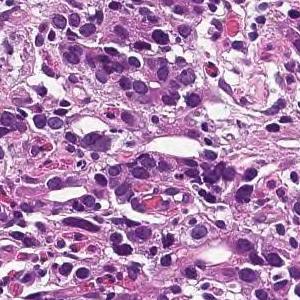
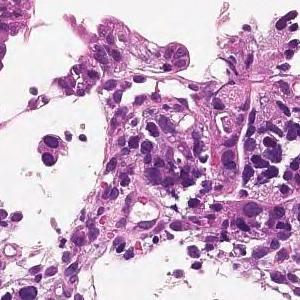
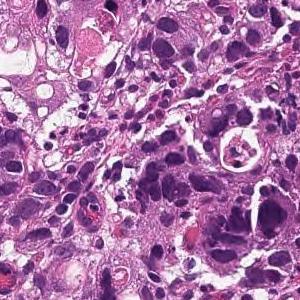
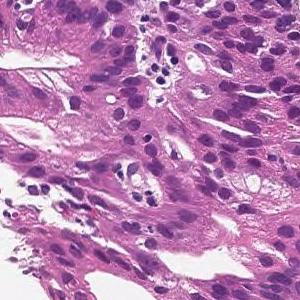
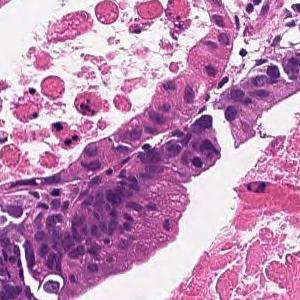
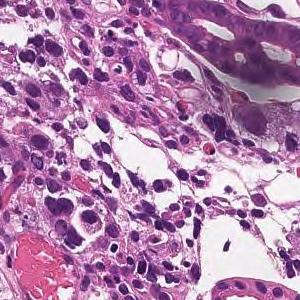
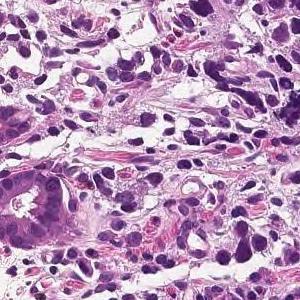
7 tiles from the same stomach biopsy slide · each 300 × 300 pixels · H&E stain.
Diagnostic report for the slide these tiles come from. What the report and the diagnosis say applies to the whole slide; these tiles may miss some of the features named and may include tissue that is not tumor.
On the superficial epithelium, tumor tissue is found in which medium-sized irregular gland ducts fuse with each other and infiltrate. moderately differentiated tubular adenocarcinoma
